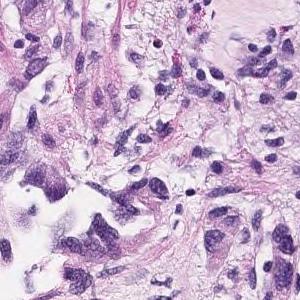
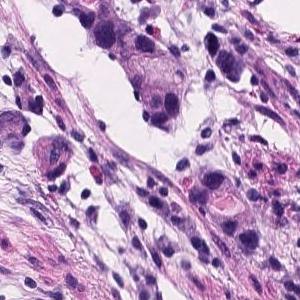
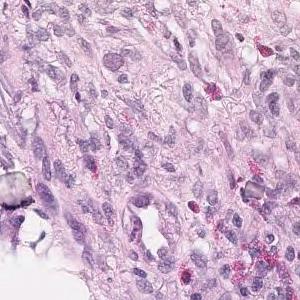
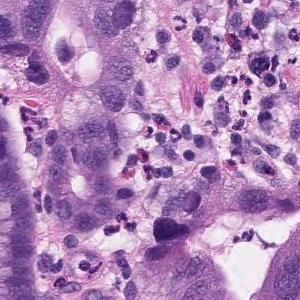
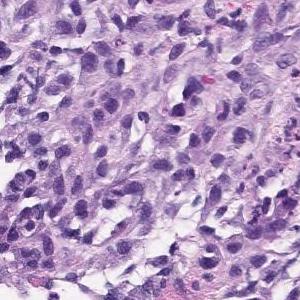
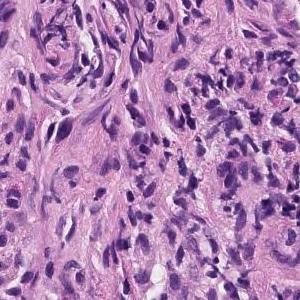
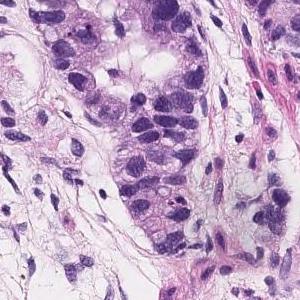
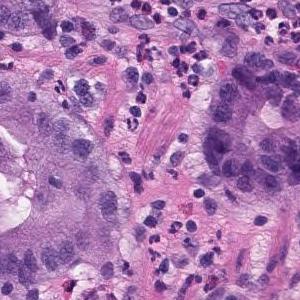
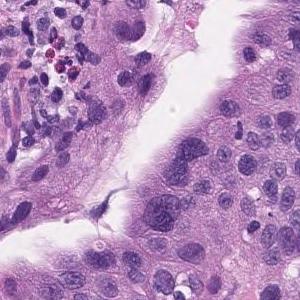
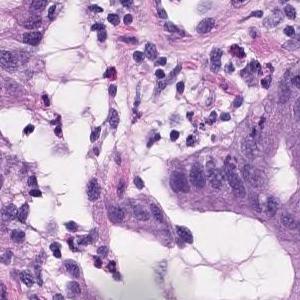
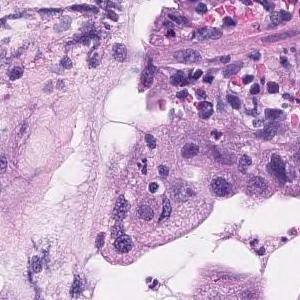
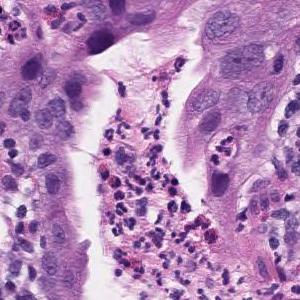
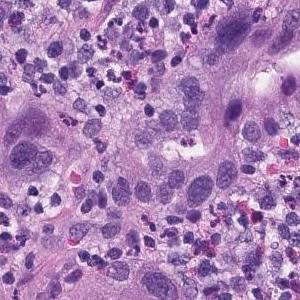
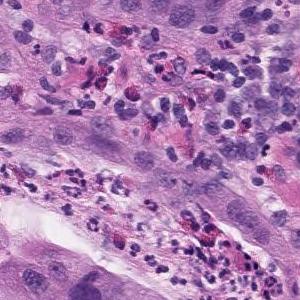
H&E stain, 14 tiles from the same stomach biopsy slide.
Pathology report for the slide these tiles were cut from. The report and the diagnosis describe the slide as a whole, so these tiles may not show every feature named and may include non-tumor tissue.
Group 5, Adenocarcinoma. Moderately to poorly differentiated adenocarcinoma
